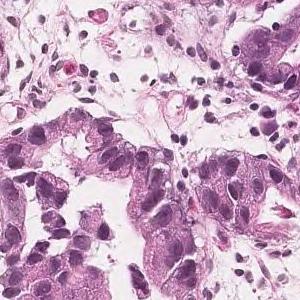
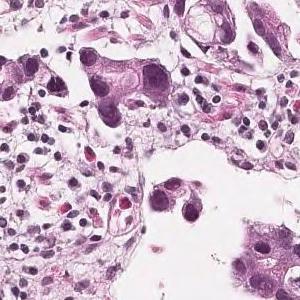
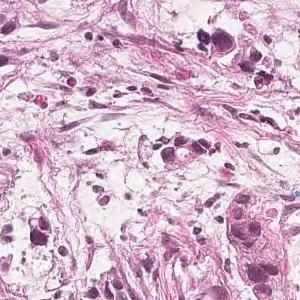
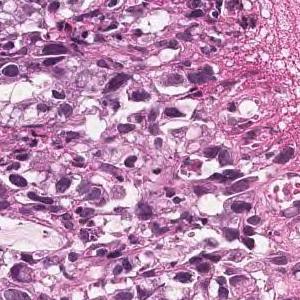
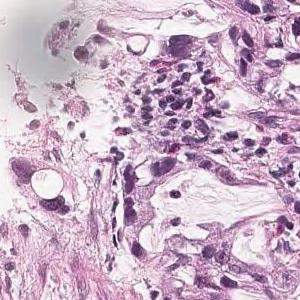
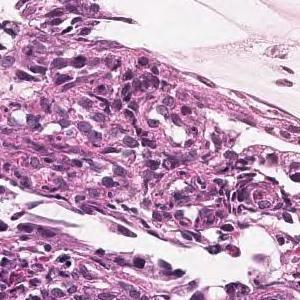
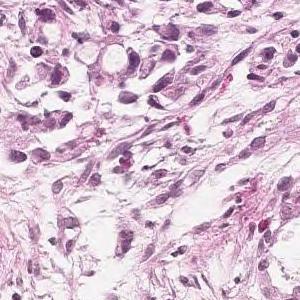
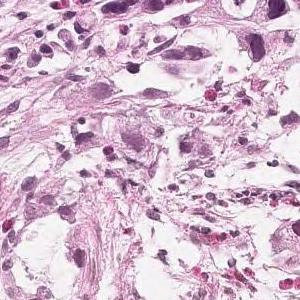
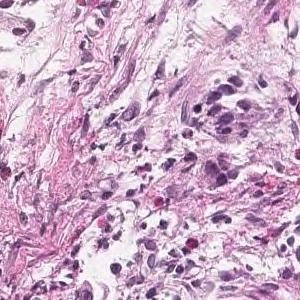
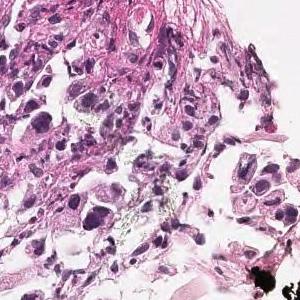
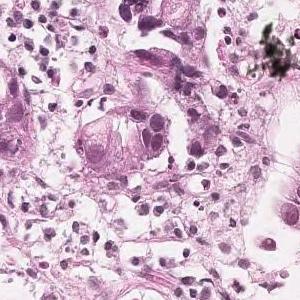
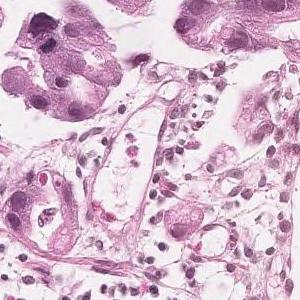
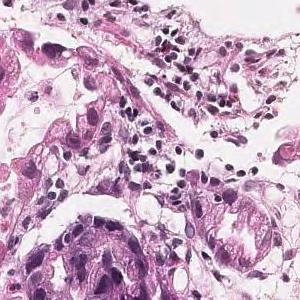
20× magnification; 13 tiles from the same stomach biopsy slide; each 300 × 300 pixels.
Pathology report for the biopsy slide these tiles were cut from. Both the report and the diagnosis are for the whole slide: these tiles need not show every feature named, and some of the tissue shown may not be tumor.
Tumor tissue consisting of medium-sized, cord-like or irregular glandular infiltration is observed in the superficial epithelium. Poorly differentiated adenocarcinoma, non-solid type or moderately differentiated tubular adenocarcinoma
"Non-solid type" is a category of the Japanese Classification of Gastric Carcinoma.
